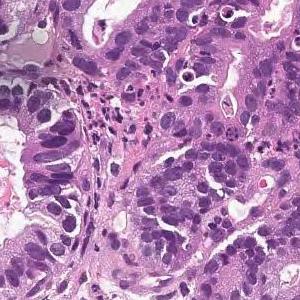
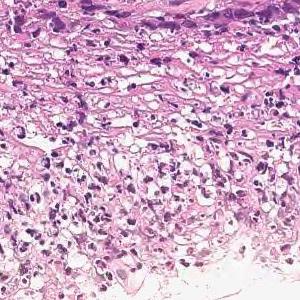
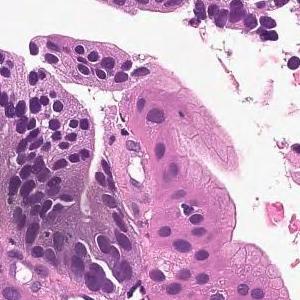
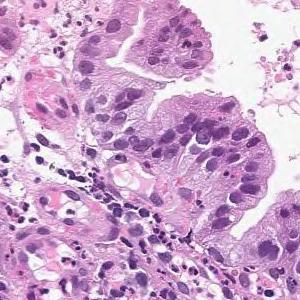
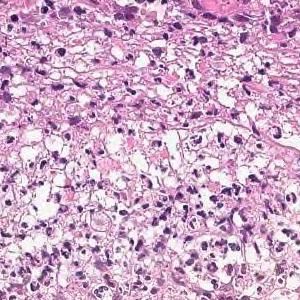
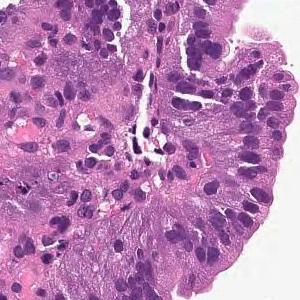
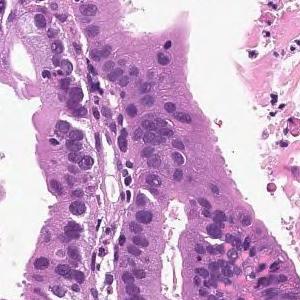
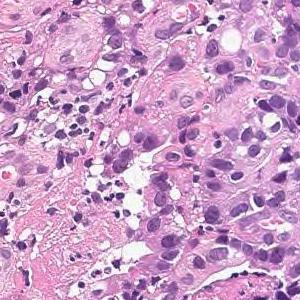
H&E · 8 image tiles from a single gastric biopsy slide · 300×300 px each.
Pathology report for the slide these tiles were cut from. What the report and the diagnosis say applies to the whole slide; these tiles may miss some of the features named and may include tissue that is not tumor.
From the superficial epithelium to the muscularis mucosae, tumor tissue consisting of medium-sized and irregular glandular ducts infiltrating is observed. Well differentiated tubular adenocarcinoma
